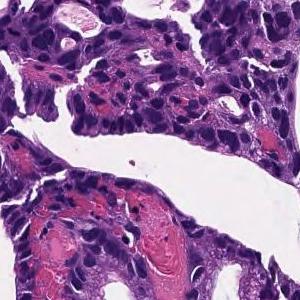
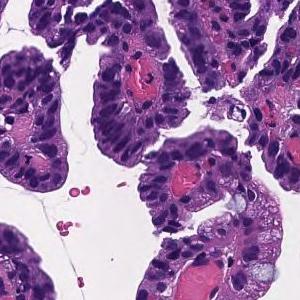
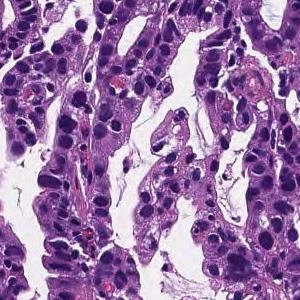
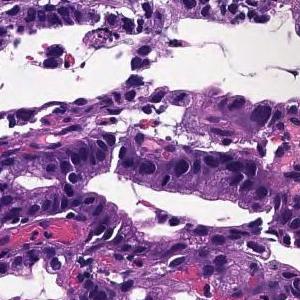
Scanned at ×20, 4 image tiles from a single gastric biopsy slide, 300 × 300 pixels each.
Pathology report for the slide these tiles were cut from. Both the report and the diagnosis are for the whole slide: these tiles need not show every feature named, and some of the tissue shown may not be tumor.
Tumor cells are large, highly columnar, large club-shaped nuclei, and are associated with chromatin aggregation. Papillary adenocarcinoma.
